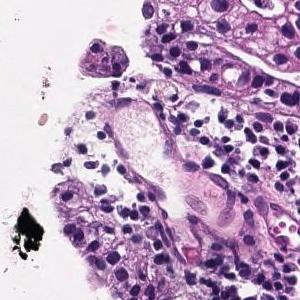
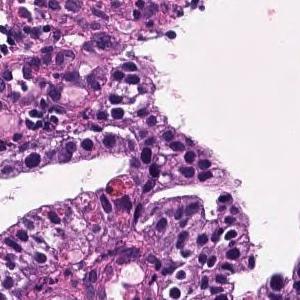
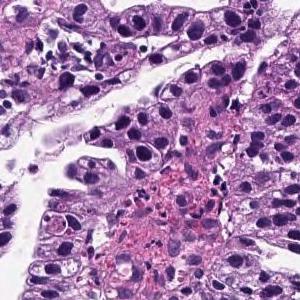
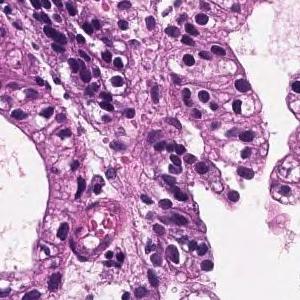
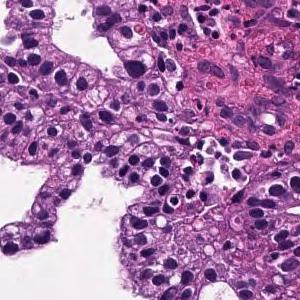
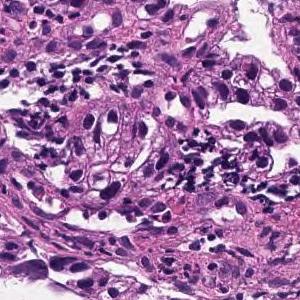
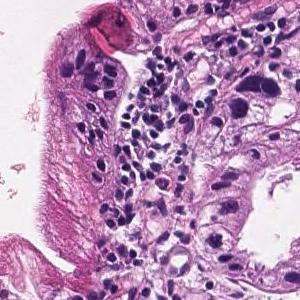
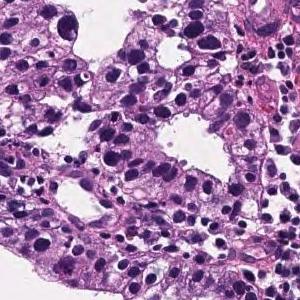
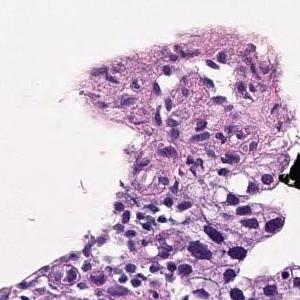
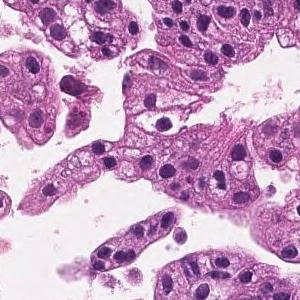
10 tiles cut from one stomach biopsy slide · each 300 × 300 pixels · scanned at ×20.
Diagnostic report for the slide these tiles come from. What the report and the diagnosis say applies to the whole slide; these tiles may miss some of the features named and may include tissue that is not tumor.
On the superficial epithelium, tumor tissue that infiltrates by forming medium-sized papillary or small irregular ducts is observed. Papillary adenocarcinoma
